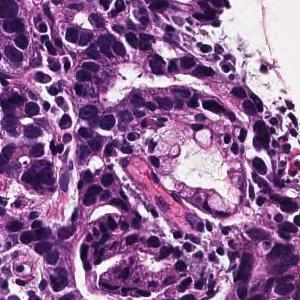
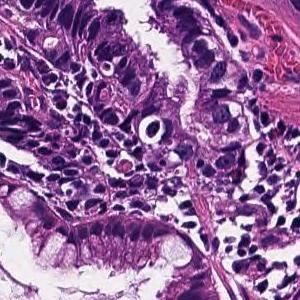
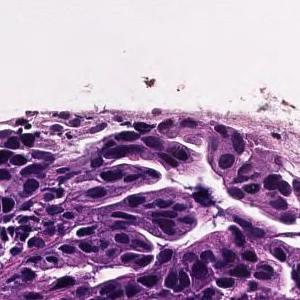
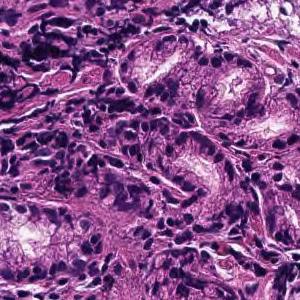
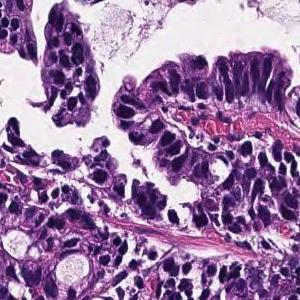
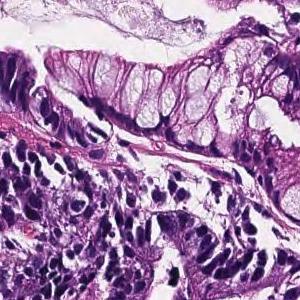
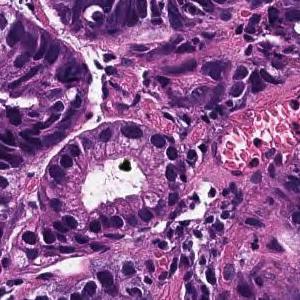
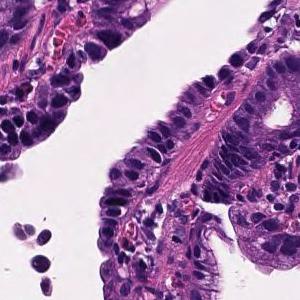
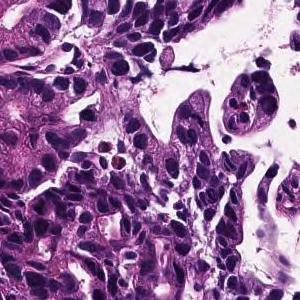
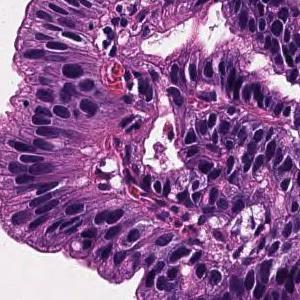
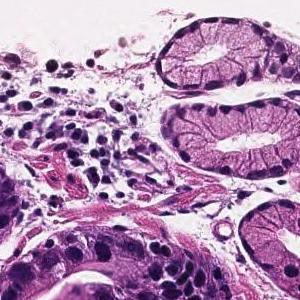
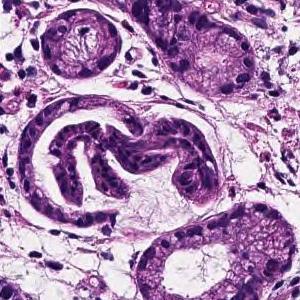
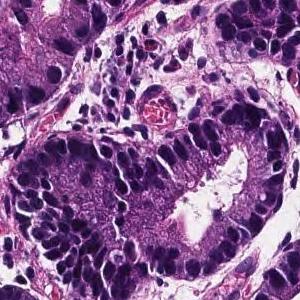
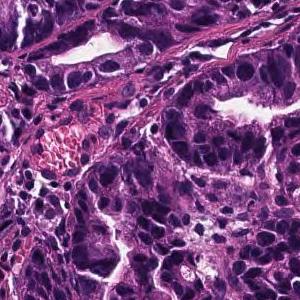
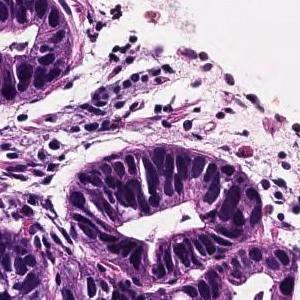
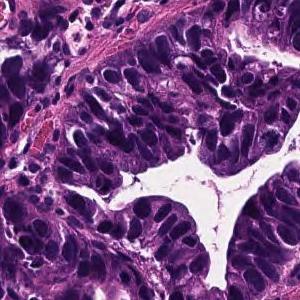
Hematoxylin and eosin stain; 16 tiles cut from one stomach biopsy slide; 300 × 300 pixels each.
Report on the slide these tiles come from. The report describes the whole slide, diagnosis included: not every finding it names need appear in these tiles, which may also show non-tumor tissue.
Tumor cells are large, highly columnar, large club-shaped nuclei, and are associated with chromatin aggregation. Papillary adenocarcinoma.
